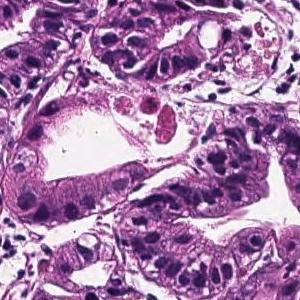
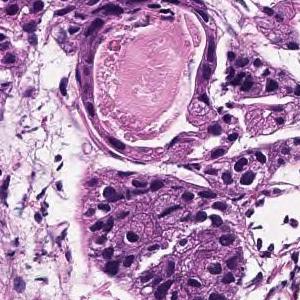
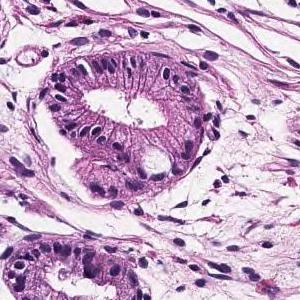
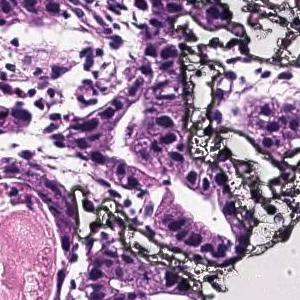
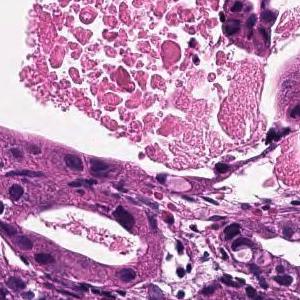
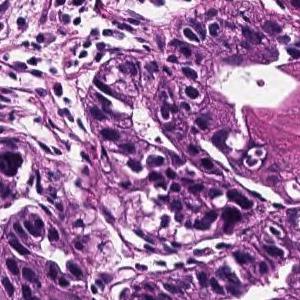
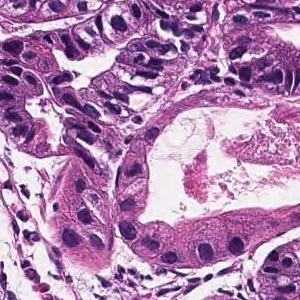
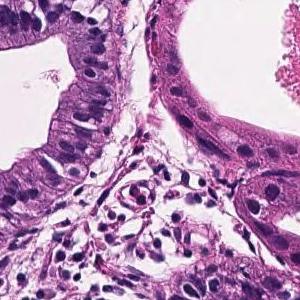
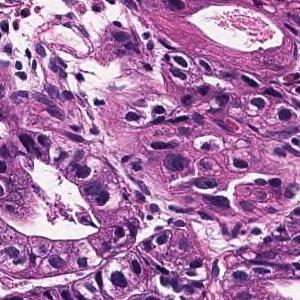
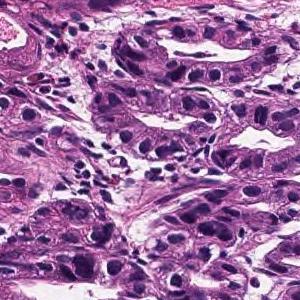
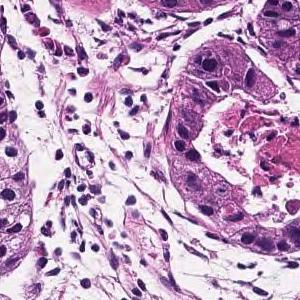
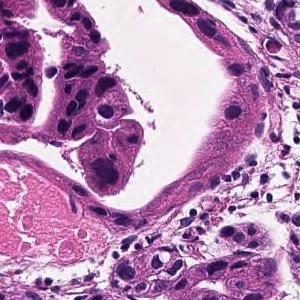
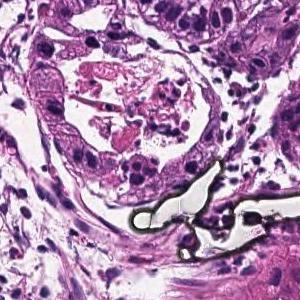
13 patches cut from one gastric biopsy slide, scanned at ×20, H&E.
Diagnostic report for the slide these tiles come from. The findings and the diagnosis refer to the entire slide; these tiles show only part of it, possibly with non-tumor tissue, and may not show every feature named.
On the superficial epithelium, tumor tissue consisting of large, irregular glandular ducts partially fused and infiltrated is observed. Well to moderately differentiated tubular adenocarcinoma (well differentiated tubular adenocarcinoma, moderately differentiated tubular adenocarcinoma)
Histologic type: Well to moderately differentiated tubular adenocarcinoma.
